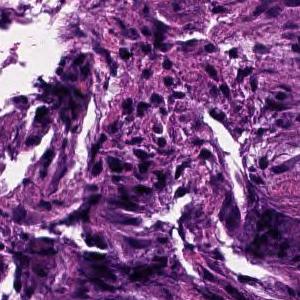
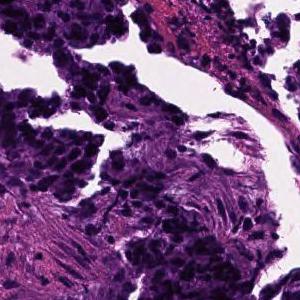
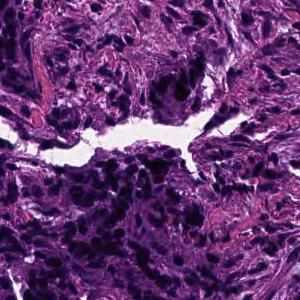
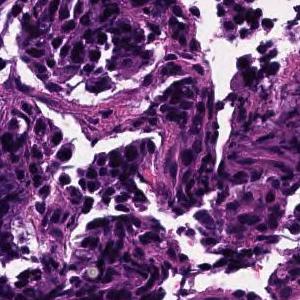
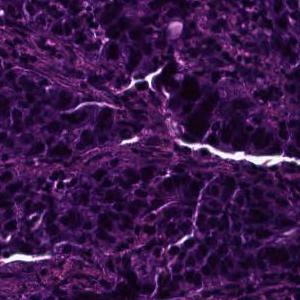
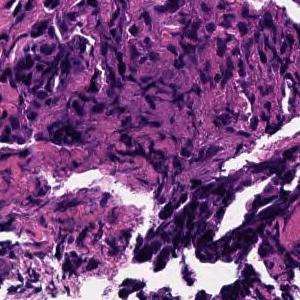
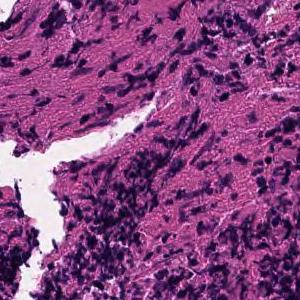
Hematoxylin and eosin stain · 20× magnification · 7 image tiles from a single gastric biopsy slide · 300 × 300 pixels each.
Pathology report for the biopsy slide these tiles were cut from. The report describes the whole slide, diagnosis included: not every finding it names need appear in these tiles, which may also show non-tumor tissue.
In the superficial epithelium, tumor tissue that invades by forming medium-sized to small, irregular ducts is observed. moderately differentiated tubular adenocarcinoma.
